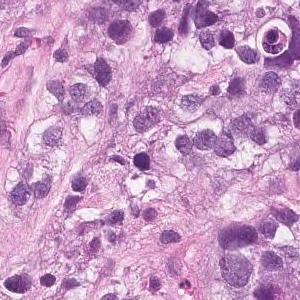
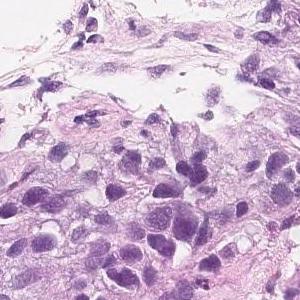
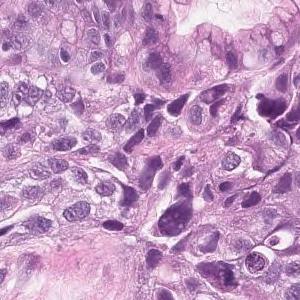
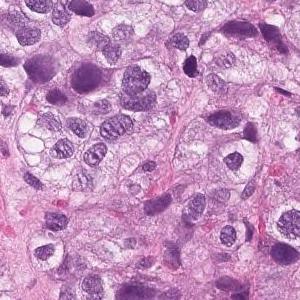
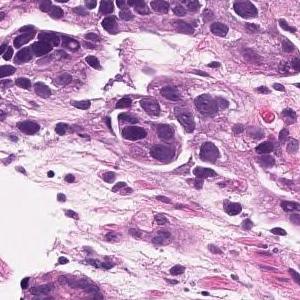
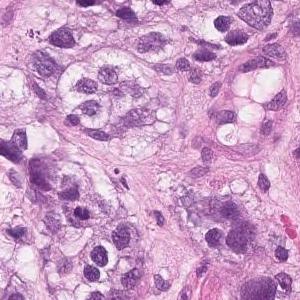
6 tiles from the same stomach biopsy slide · each 300 × 300 pixels · H&E · scanned at ×20.
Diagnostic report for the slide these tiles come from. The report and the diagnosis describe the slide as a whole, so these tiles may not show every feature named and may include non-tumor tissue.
Tumor tissue that infiltrates the epithelium in an alveolar manner. Poorly differentiated adenocarcinoma, solid-type
Histological subtype: Poorly differentiated adenocarcinoma, solid type (Japanese Classification of Gastric Carcinoma). The WHO 2019 equivalent is tubular adenocarcinoma, poorly differentiated.
